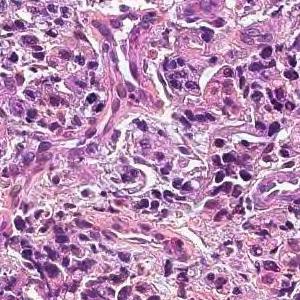
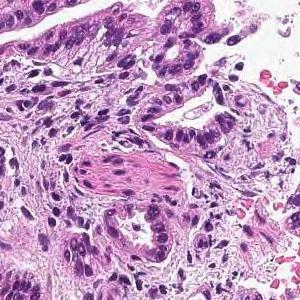
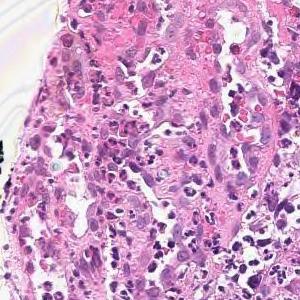
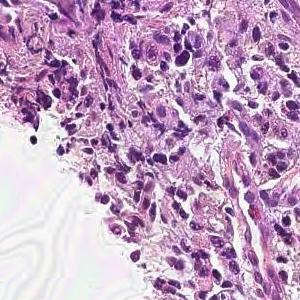
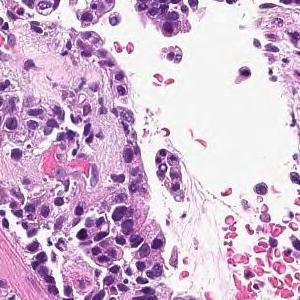
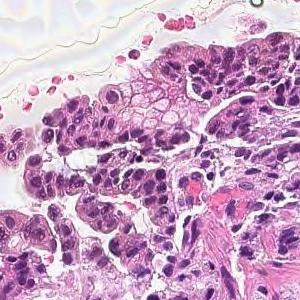
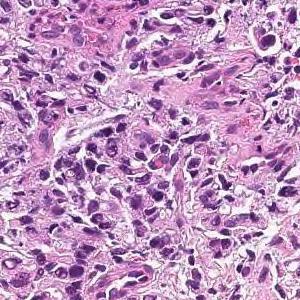
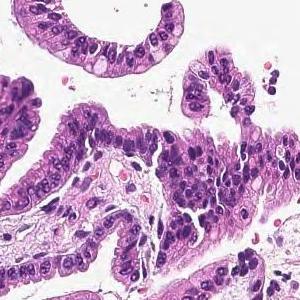
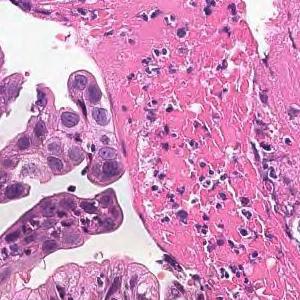
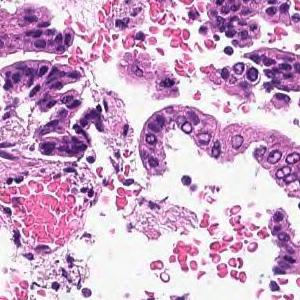
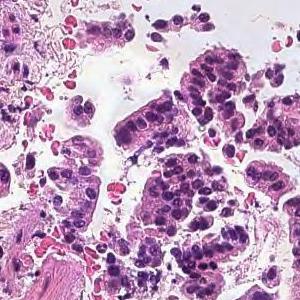
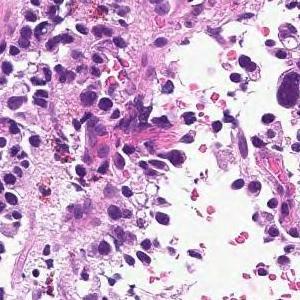
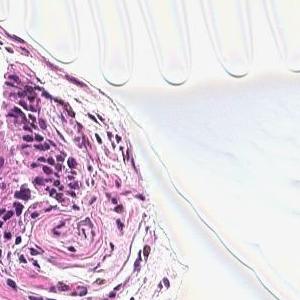
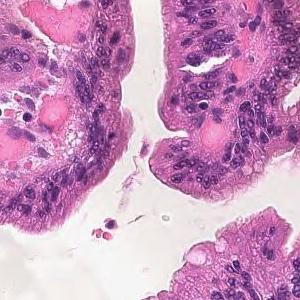
H&E; 14 tiles cut from one stomach biopsy slide.
Pathology report for the biopsy slide these tiles were cut from. Both the report and the diagnosis are for the whole slide: these tiles need not show every feature named, and some of the tissue shown may not be tumor.
Tumor tissue consisting of medium-sized, cord-like or irregular glandular infiltration is observed in the superficial epithelium. Poorly differentiated adenocarcinoma, non-solid type or moderately differentiated tubular adenocarcinoma
Classified as moderately to poorly differentiated adenocarcinoma.
"Non-solid type" is a category of the Japanese Classification of Gastric Carcinoma.
